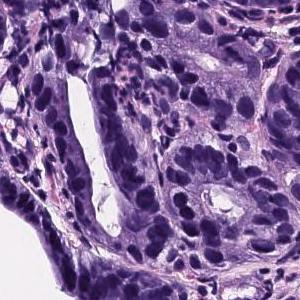
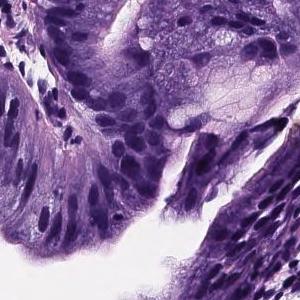
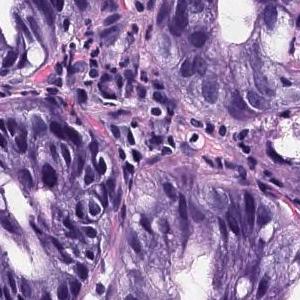
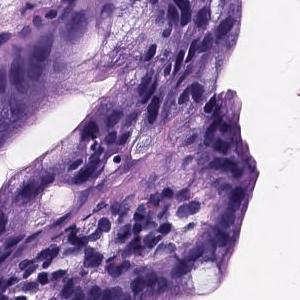
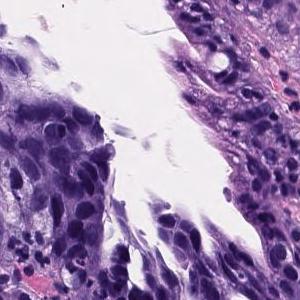
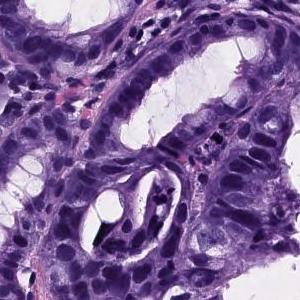
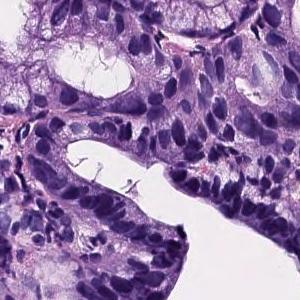
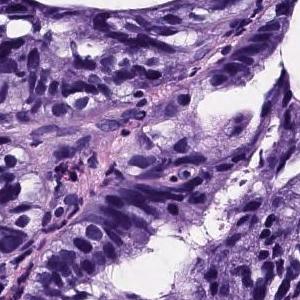
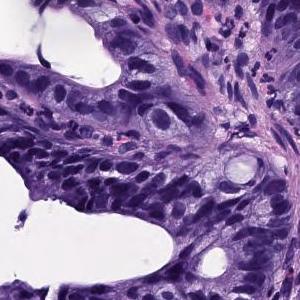
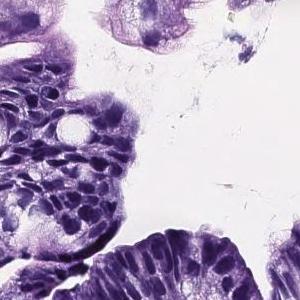
10 patches cut from one gastric biopsy slide; 300×300 px each; scanned at ×20.
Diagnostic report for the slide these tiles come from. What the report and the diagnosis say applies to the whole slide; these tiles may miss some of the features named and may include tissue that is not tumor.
Large atypical cells which form medium to large ducts are proliferating. Well differentiated adenocarcinoma (well differentiated tubular adenocarcinoma)
Subtype: Well differentiated tubular adenocarcinoma.
